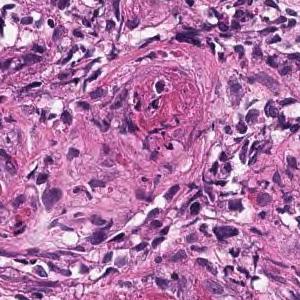
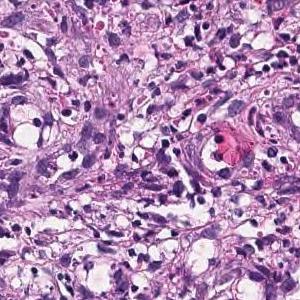
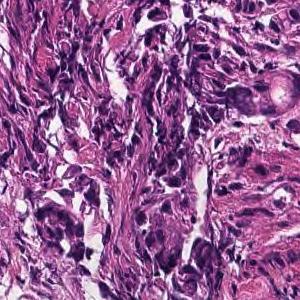
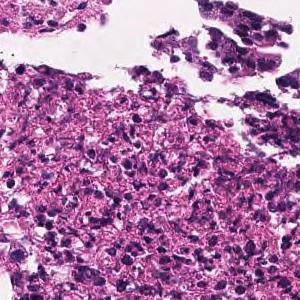
4 patches cut from one gastric biopsy slide, 20× magnification.
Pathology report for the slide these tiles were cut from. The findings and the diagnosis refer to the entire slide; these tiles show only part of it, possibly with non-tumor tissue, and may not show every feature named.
In the superficial epithelium, medium to small, irregular gland ducts are formed, and in some cases, the gland ducts are fused to show solid alveolar lesions and infiltrating tumor tissue is observed. Moderately to poorly differentiated adenocarcinoma.
